20× magnification, H&E, 13 patches cut from one gastric biopsy slide, 300×300 px each.
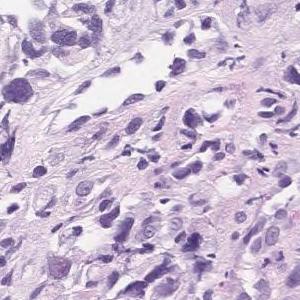
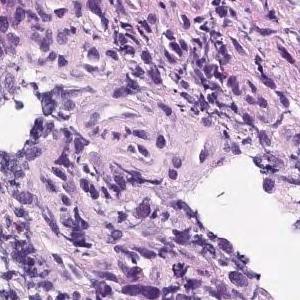
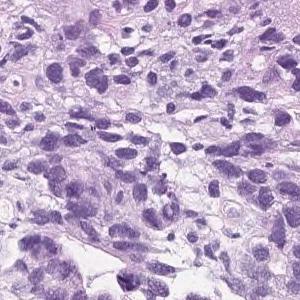
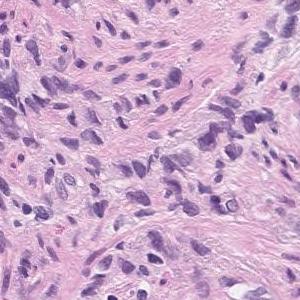
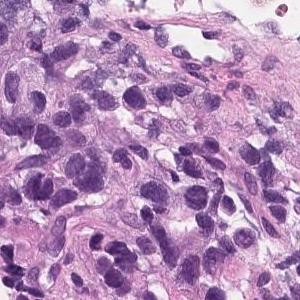
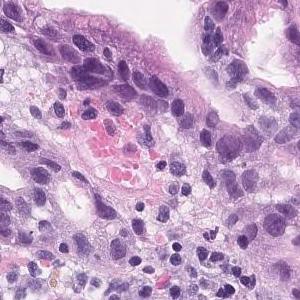
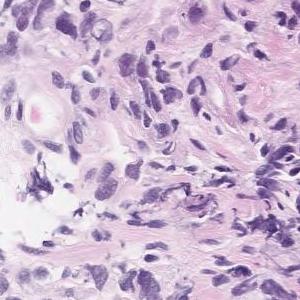
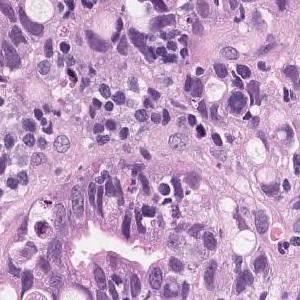
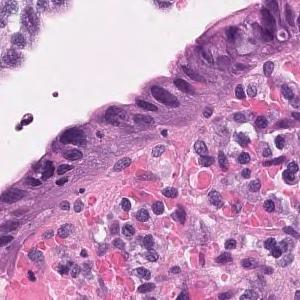
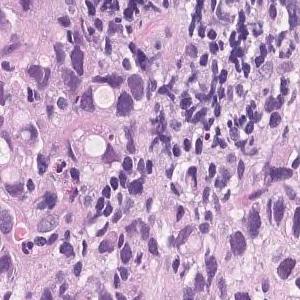
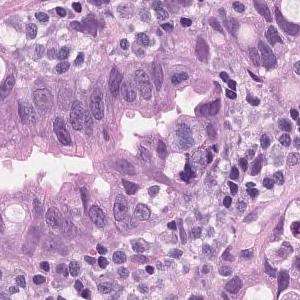
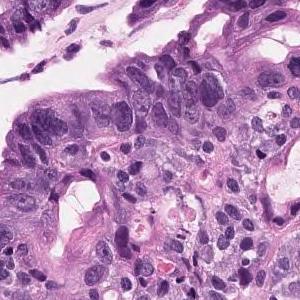
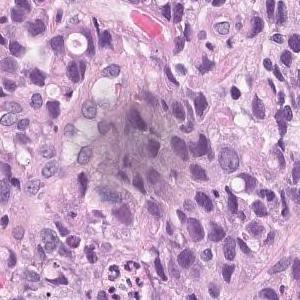
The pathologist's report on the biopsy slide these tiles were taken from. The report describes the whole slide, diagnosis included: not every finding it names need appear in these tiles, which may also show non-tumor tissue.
Tumor tissue consisting of medium-sized, cord-like or irregular glandular infiltration is observed in the superficial epithelium. Poorly differentiated adenocarcinoma, non-solid type or moderately differentiated tubular adenocarcinoma
Dataset label: poorly differentiated adenocarcinoma, non-solid type.
"Non-solid type" is a category of the Japanese Classification of Gastric Carcinoma.
